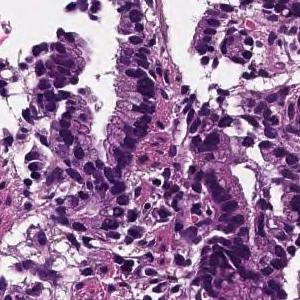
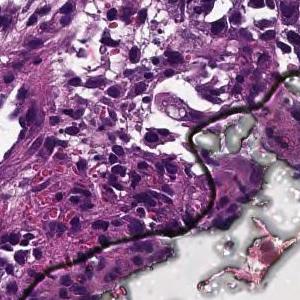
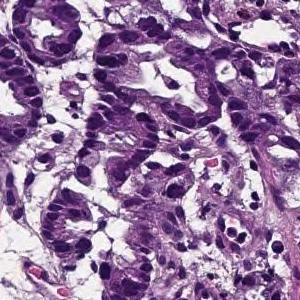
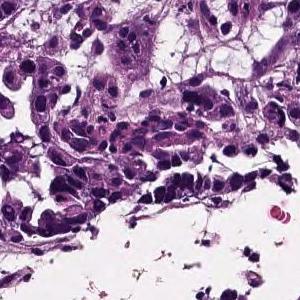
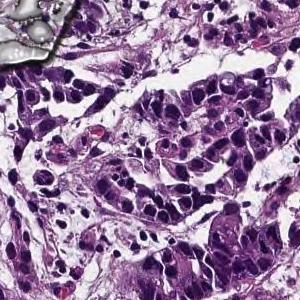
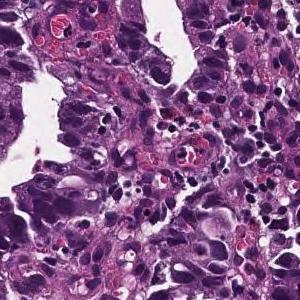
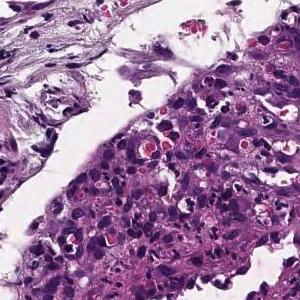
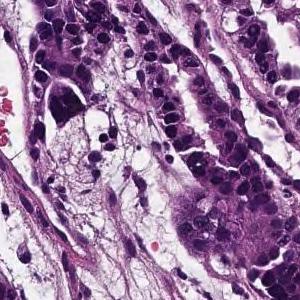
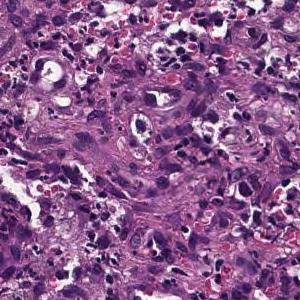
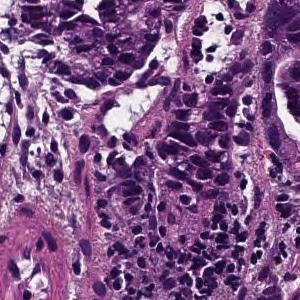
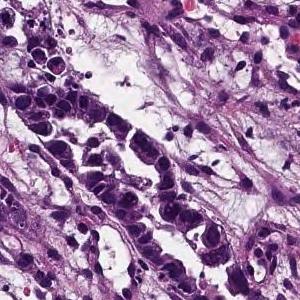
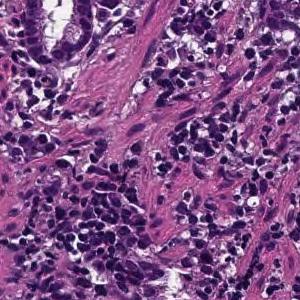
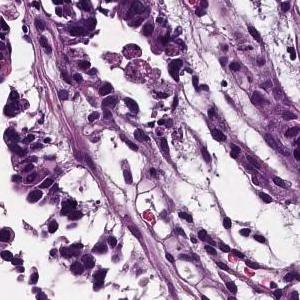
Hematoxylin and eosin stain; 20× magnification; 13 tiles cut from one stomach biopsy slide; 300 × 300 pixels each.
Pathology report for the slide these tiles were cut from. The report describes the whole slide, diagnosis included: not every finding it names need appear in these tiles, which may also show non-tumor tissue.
Medium to small, irregular glandular ducts are formed in the superficial epithelium, and in some cases, the glandular ducts are fused to show solid alveolar lesions and infiltrating tumor tissue is observed. Moderately to poorly differentiated adenocarcinoma.
